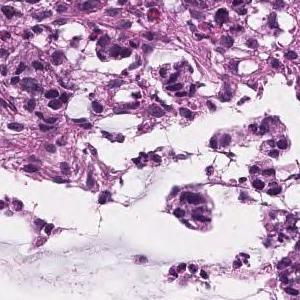
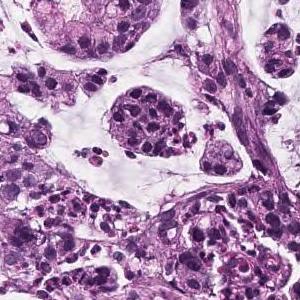
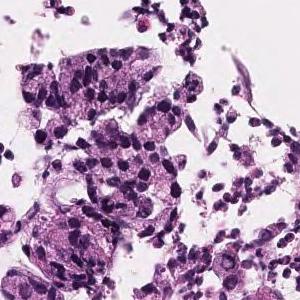
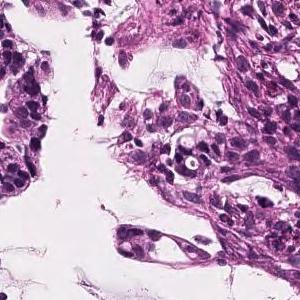
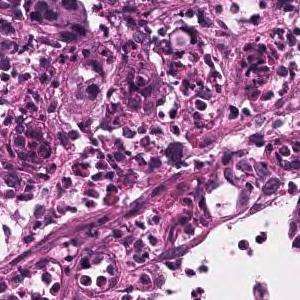
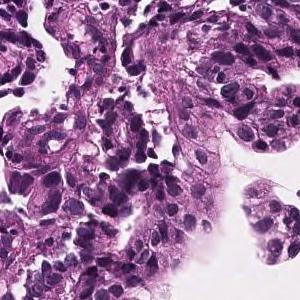
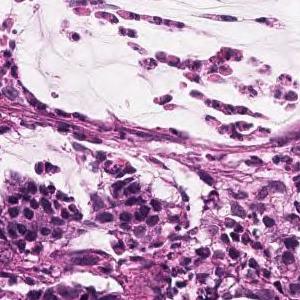
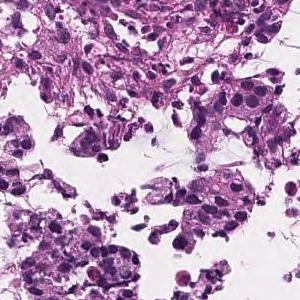
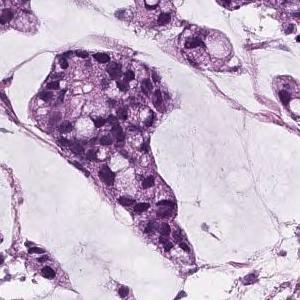
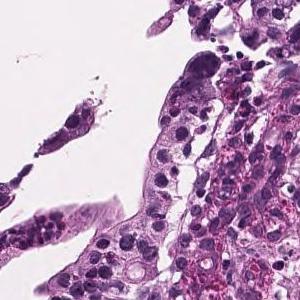
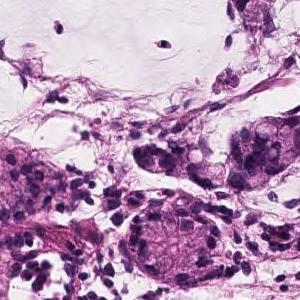
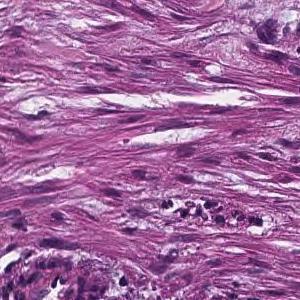
H&E · scanned at ×20 · 12 patches cut from one gastric biopsy slide · 300 × 300 pixels each.
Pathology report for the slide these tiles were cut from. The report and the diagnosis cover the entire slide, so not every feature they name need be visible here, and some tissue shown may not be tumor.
Atypical epithelial cells form obscure ductal structures or small solid follicles, and tumor tissue that proliferates invasively with proliferation of inflammatory granulation tissue is observed. Mucinous adenocarcinoma .
